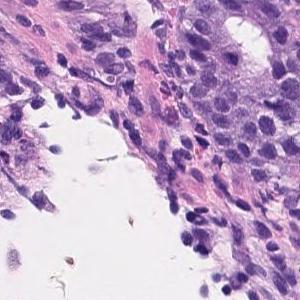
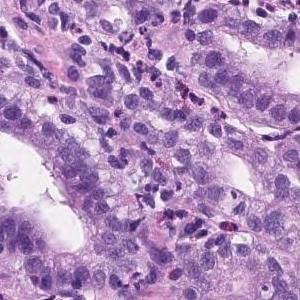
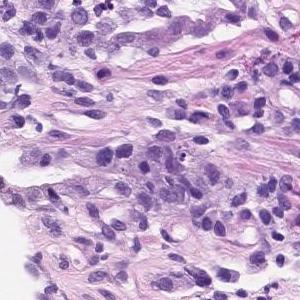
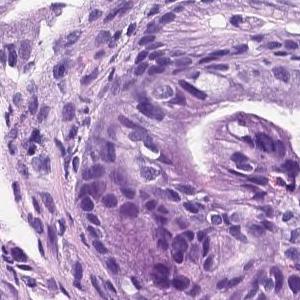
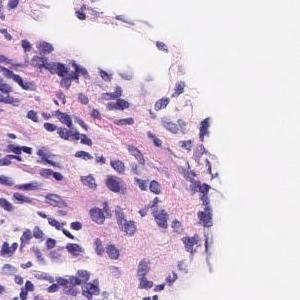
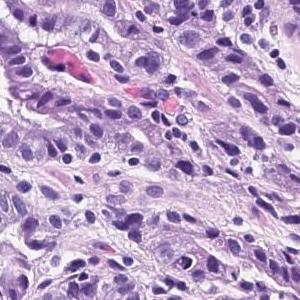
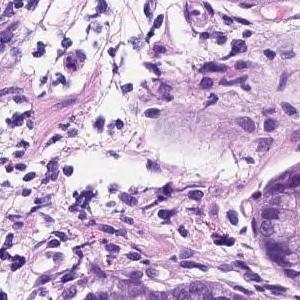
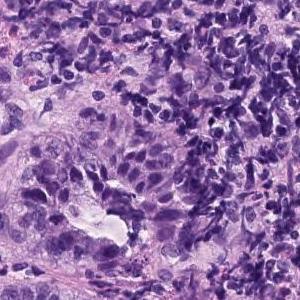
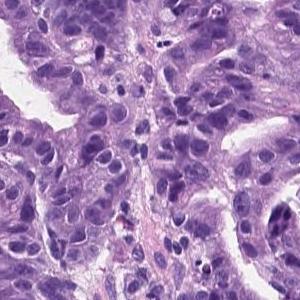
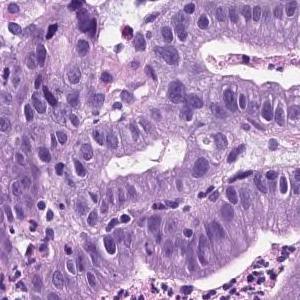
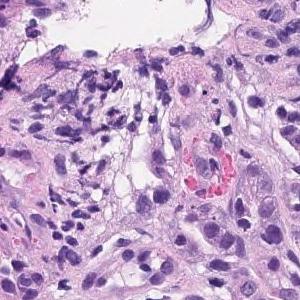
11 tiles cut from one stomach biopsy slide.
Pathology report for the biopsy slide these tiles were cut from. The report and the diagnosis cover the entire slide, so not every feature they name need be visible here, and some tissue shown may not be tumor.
Tumor tissue consisting of medium-sized and irregular ducts is observed infiltrating in the superficial epithelium. Tumor cells are highly columnar, with nuclei aligned basolaterally and polarized. Well differentiated tubular adenocarcinoma.
